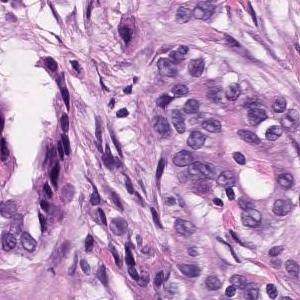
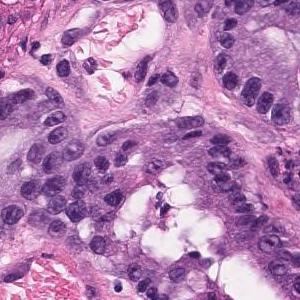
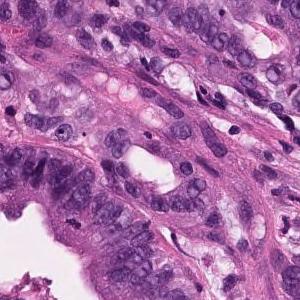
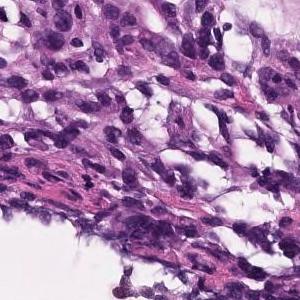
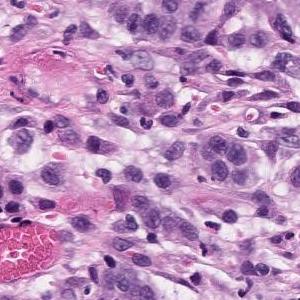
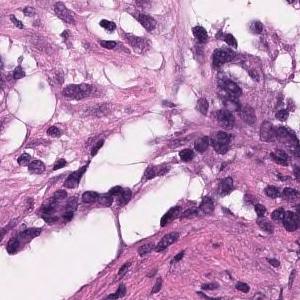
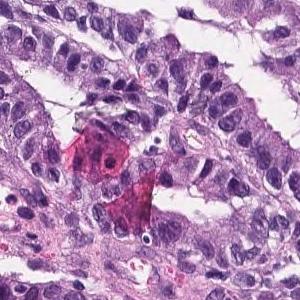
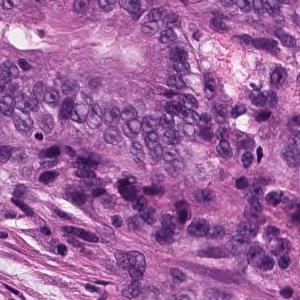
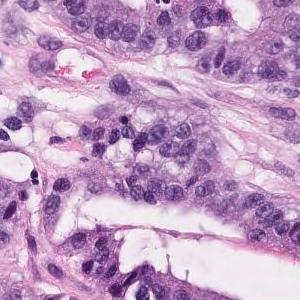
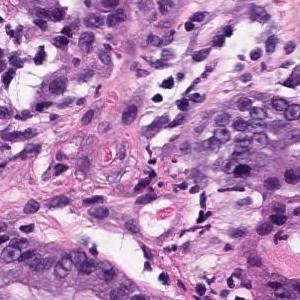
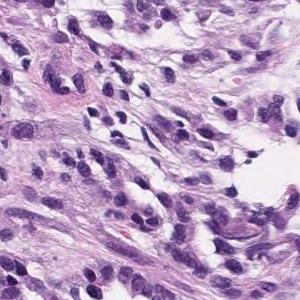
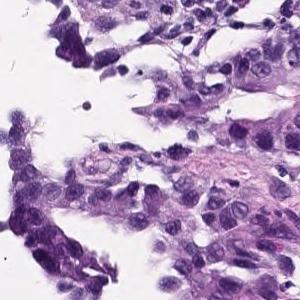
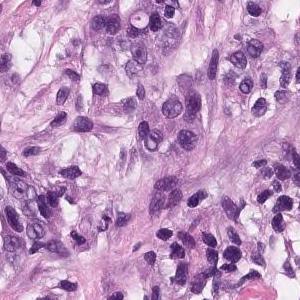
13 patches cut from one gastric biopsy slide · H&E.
Diagnostic report for the slide these tiles come from. Both the report and the diagnosis are for the whole slide: these tiles need not show every feature named, and some of the tissue shown may not be tumor.
In the superficial epithelium, tumor tissue that invades by forming medium-sized to small, irregular ducts is observed. Moderately differentiated adenocarcinoma.
Tumor subtype: moderately differentiated tubular adenocarcinoma.
